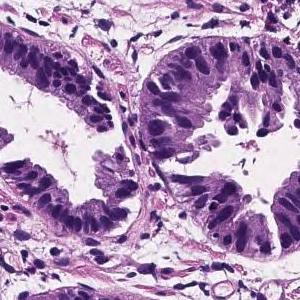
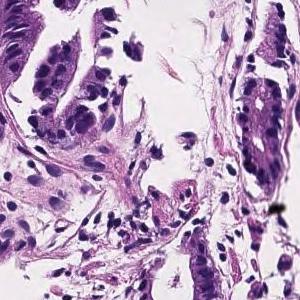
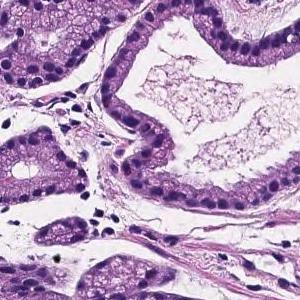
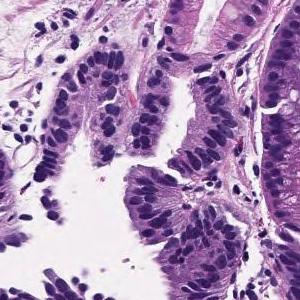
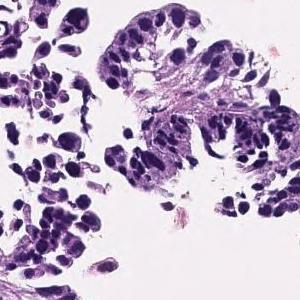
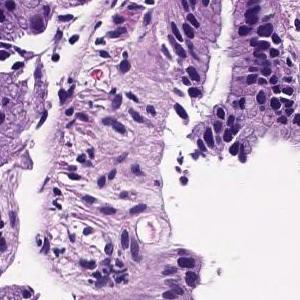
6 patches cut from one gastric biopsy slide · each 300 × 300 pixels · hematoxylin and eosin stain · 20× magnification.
Diagnostic report for the slide these tiles come from. The report and the diagnosis describe the slide as a whole, so these tiles may not show every feature named and may include non-tumor tissue.
Tumor cells are large, highly columnar, large club-shaped nuclei, and are associated with chromatin aggregation. Papillary adenocarcinoma.
